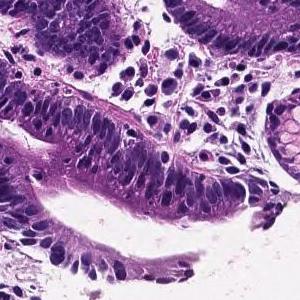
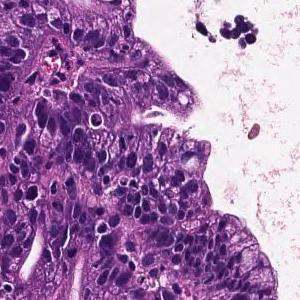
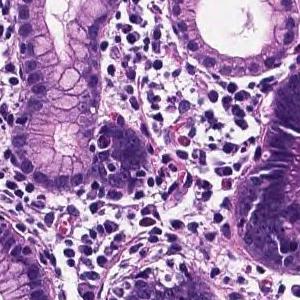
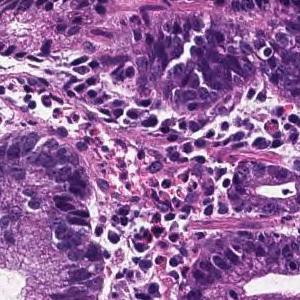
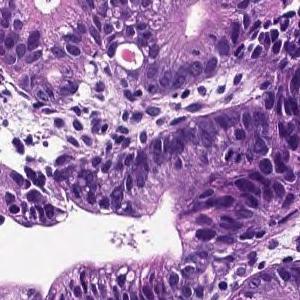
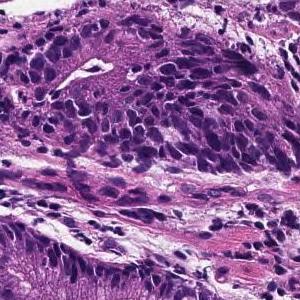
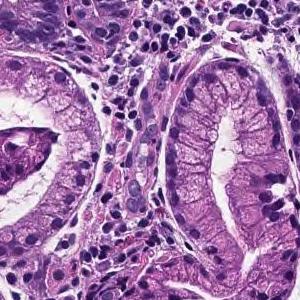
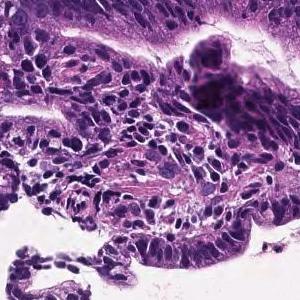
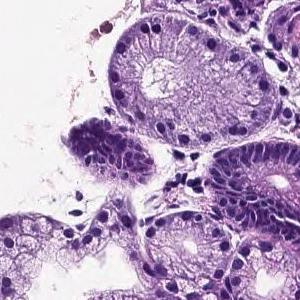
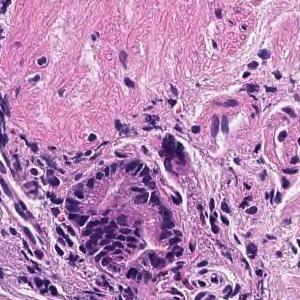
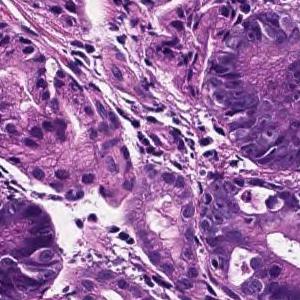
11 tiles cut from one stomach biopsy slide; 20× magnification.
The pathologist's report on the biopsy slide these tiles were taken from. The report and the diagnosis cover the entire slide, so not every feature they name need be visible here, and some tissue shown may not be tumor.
From the superficial epithelium to the muscularis mucosae, tumor tissue consisting of medium-sized and irregular glandular ducts infiltrating is observed. Well differentiated tubular adenocarcinoma
